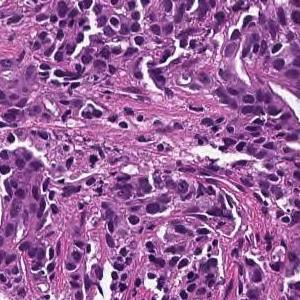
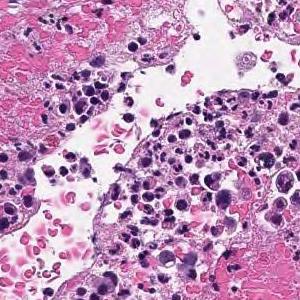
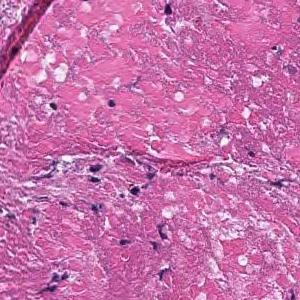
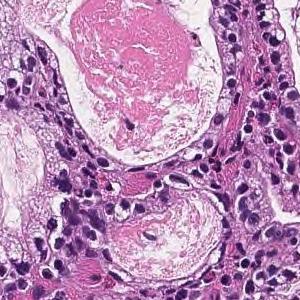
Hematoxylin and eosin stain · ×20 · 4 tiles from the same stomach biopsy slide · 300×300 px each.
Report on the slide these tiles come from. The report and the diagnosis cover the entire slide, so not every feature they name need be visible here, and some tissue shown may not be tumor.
On the superficial epithelium, tumor tissue that infiltrates by forming medium-sized papillary or small irregular ducts is observed. Papillary adenocarcinoma
